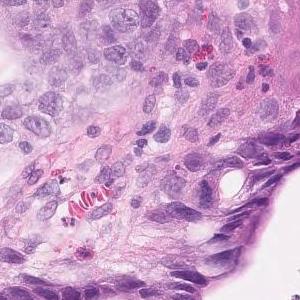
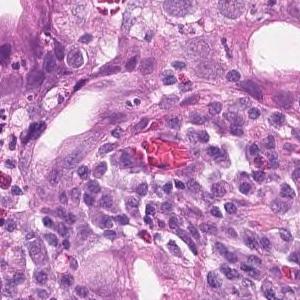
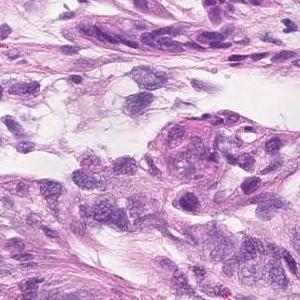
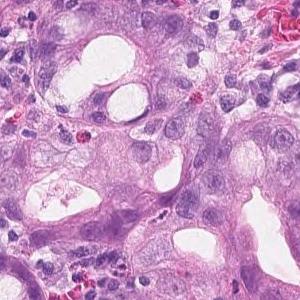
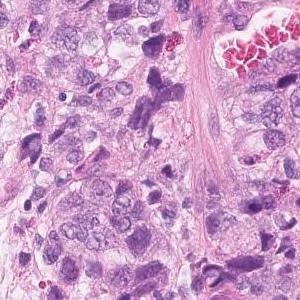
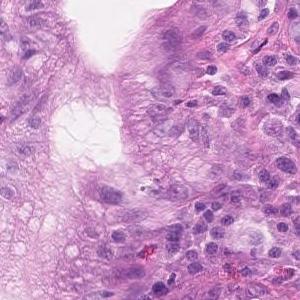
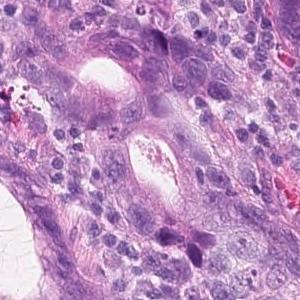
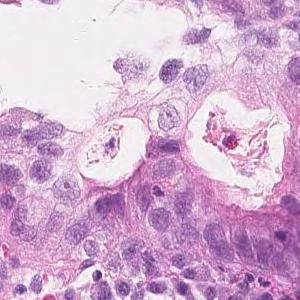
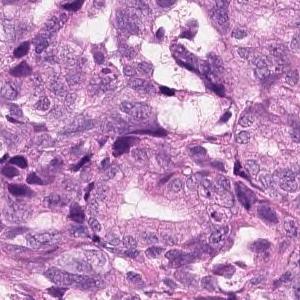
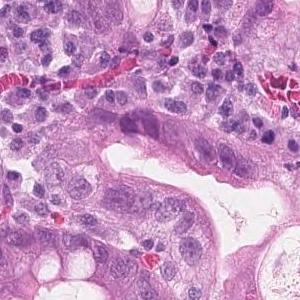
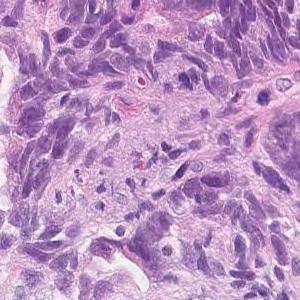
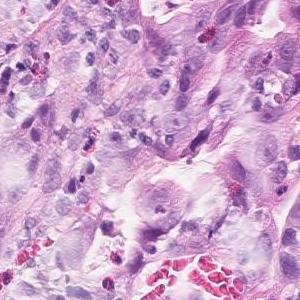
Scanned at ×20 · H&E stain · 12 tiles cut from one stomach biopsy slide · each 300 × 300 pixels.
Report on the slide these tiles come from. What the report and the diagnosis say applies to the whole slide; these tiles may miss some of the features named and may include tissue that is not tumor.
Tumor tissue showing dense, fused or diffuse, and infiltrative growth of small atypical ducts is observed. moderately differentiated tubular adenocarcinoma
